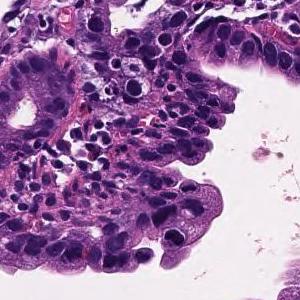
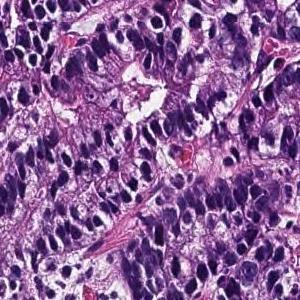
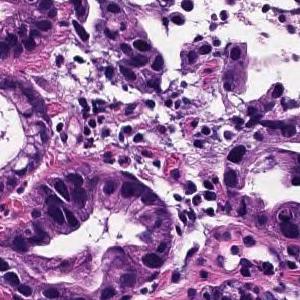
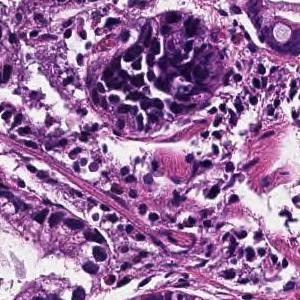
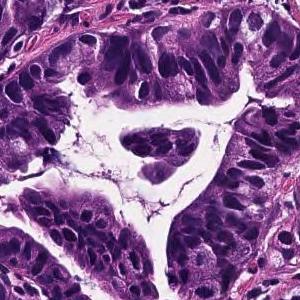
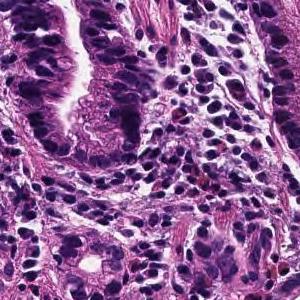
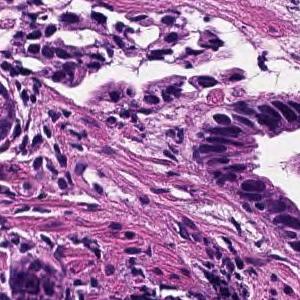
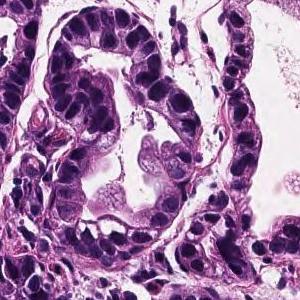
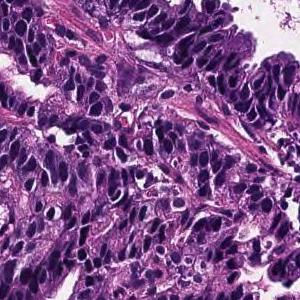
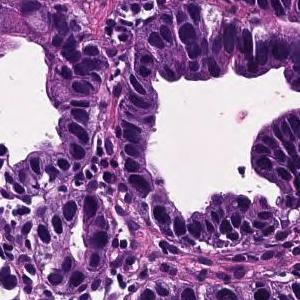
×20 · hematoxylin and eosin stain · 10 tiles from the same stomach biopsy slide · each 300 × 300 pixels.
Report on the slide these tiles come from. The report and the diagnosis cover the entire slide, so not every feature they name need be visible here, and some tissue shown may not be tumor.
Tumor cells are large, highly columnar, large club-shaped nuclei, and are associated with chromatin aggregation. Papillary adenocarcinoma.
